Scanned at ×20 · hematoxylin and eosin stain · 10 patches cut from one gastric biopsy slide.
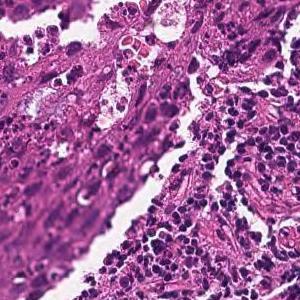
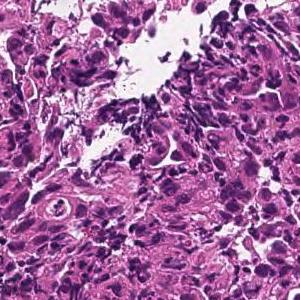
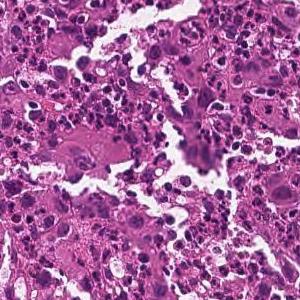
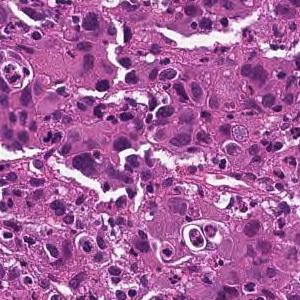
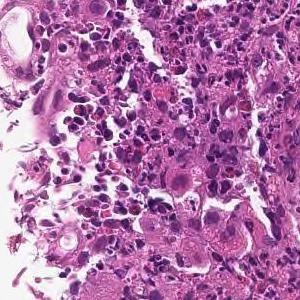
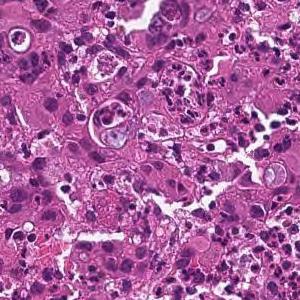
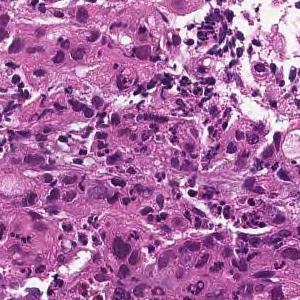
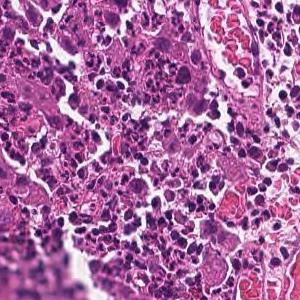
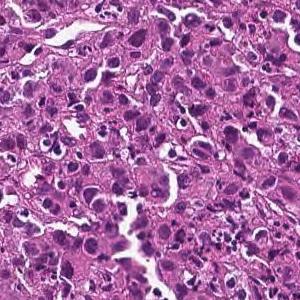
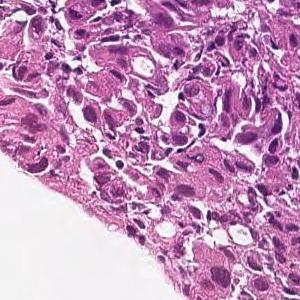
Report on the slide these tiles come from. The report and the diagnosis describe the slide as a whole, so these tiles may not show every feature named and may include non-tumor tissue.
The superficial epithelium shows a large sheet-like shape, and some tumor tissue infiltrates with small irregular ducts. Poorly differentiated adenocarcinoma, solid-type
Classified as poorly differentiated adenocarcinoma, solid type, a category of the Japanese Classification of Gastric Carcinoma; in the WHO 2019 classification it is tubular adenocarcinoma, poorly differentiated.
